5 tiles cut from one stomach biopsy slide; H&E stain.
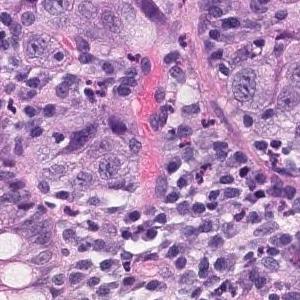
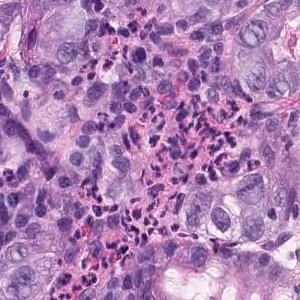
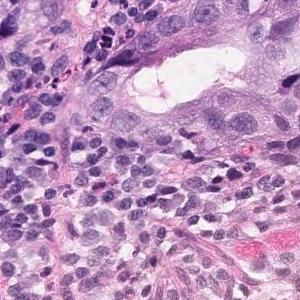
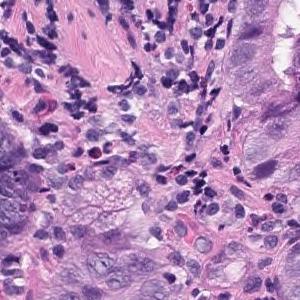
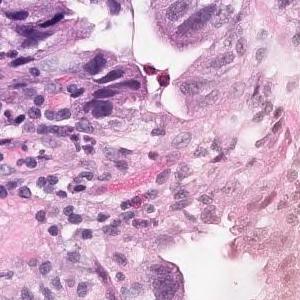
Pathology report for the slide these tiles were cut from. The findings and the diagnosis refer to the entire slide; these tiles show only part of it, possibly with non-tumor tissue, and may not show every feature named.
In the superficial epithelium, tumor tissue that invades by forming medium-sized to small irregular glandular ducts is observed. Moderately differentiated adenocarcinoma.
Subtype: Moderately differentiated tubular adenocarcinoma.
